×20 · 6 patches cut from one gastric biopsy slide.
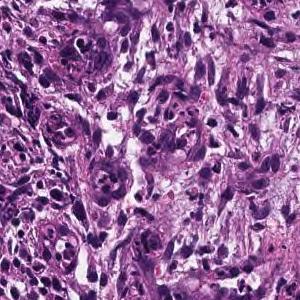
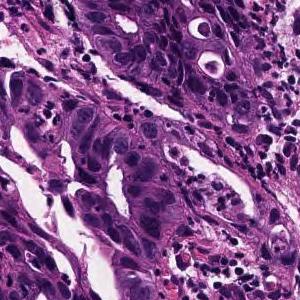
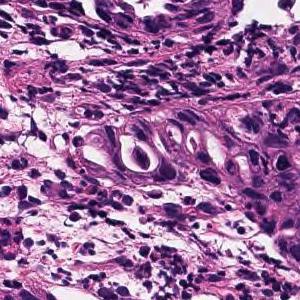
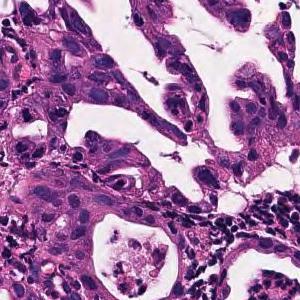
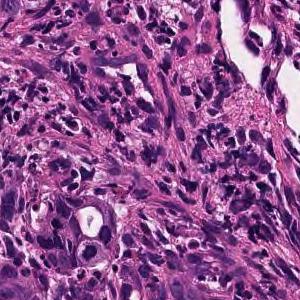
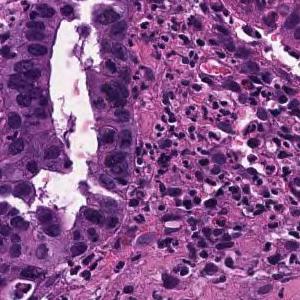
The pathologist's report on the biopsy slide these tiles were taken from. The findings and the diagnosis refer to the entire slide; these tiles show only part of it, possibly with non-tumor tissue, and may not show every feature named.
In the superficial epithelium, medium-sized to small irregular glandular ducts are formed, and in some cases, the glandular ducts are fused or small cord-like infiltrating tumor tissue is observed. moderately differentiated tubular adenocarcinoma
